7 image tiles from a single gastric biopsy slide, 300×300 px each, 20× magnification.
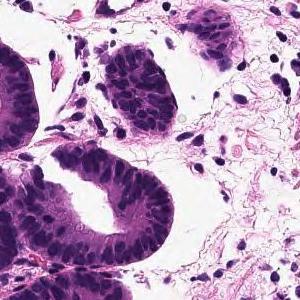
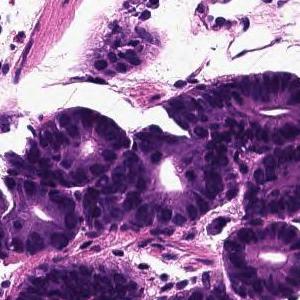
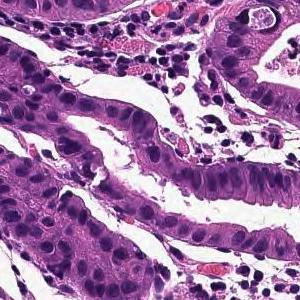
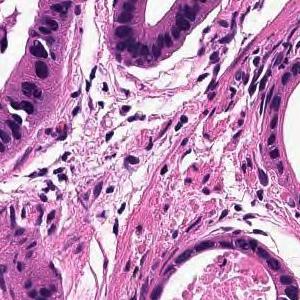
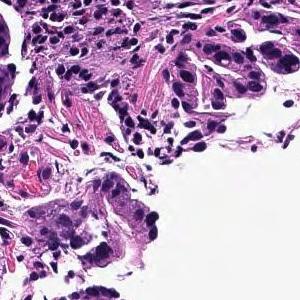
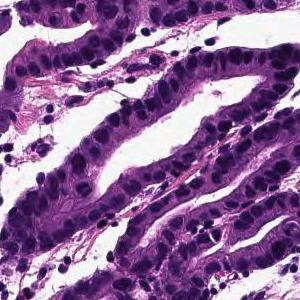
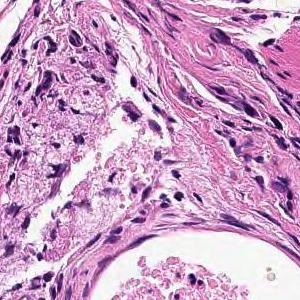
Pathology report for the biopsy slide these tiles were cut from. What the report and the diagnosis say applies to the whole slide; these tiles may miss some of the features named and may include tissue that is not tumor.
From the superficial epithelium to the muscularis mucosae, tumor tissue consisting of medium-sized and irregular glandular ducts infiltrating is observed. Well differentiated tubular adenocarcinoma
